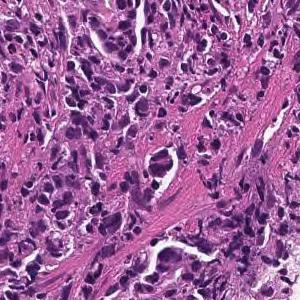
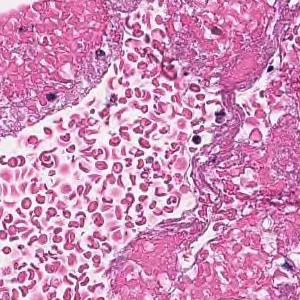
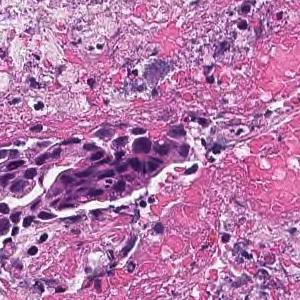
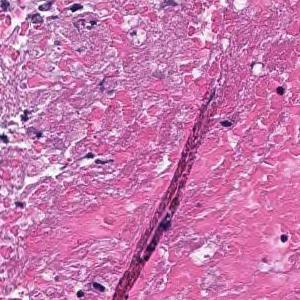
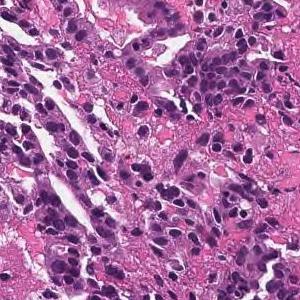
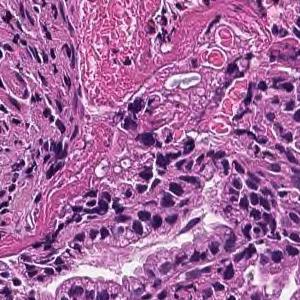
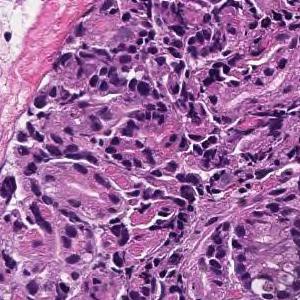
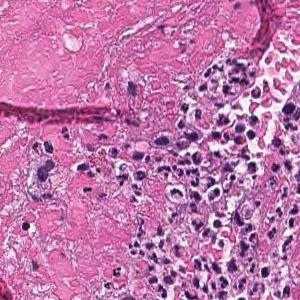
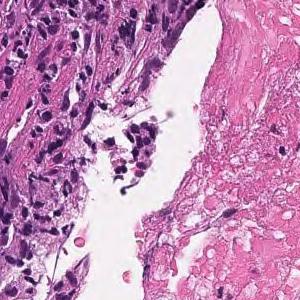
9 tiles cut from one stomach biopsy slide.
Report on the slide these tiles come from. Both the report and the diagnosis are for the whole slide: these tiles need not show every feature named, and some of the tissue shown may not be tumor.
On the superficial epithelium, tumor tissue that infiltrates by forming medium-sized papillary or small irregular ducts is observed. Papillary adenocarcinoma
